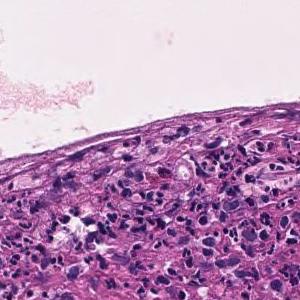
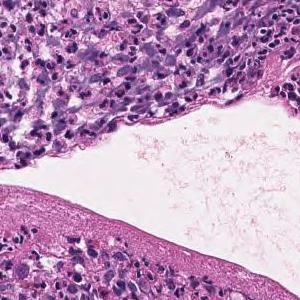
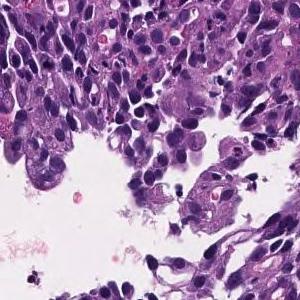
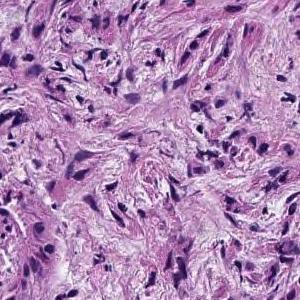
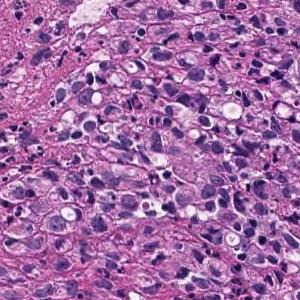
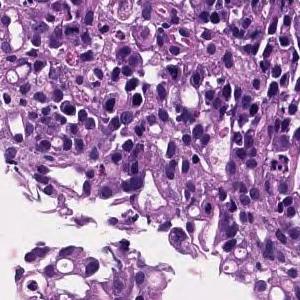
20× magnification, H&E stain, 6 image tiles from a single gastric biopsy slide, 300×300 px each.
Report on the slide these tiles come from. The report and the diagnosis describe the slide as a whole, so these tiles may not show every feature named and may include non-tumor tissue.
The superficial epithelium shows a large sheet-like shape, and some tumor tissue infiltrates with small irregular ducts. Poorly differentiated adenocarcinoma, solid-type
Histologic type: Poorly differentiated adenocarcinoma, solid type. This name comes from the Japanese Classification of Gastric Carcinoma; the WHO 2019 classification calls it tubular adenocarcinoma, poorly differentiated.
